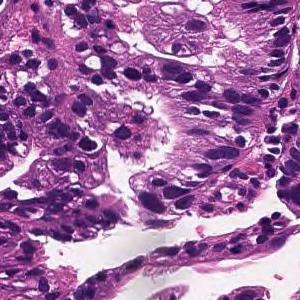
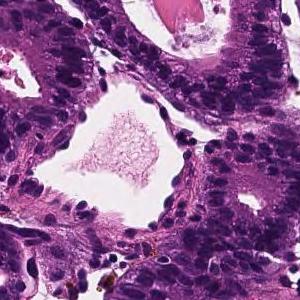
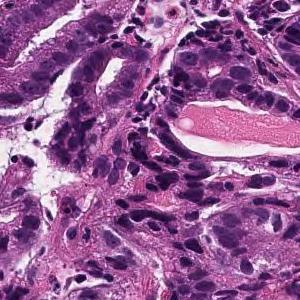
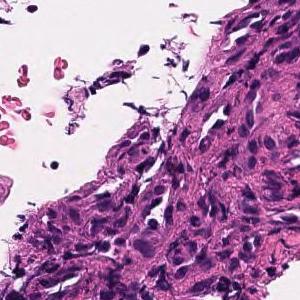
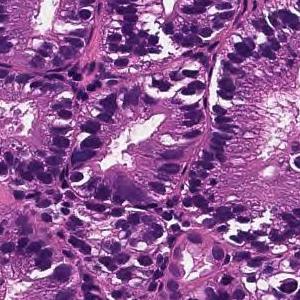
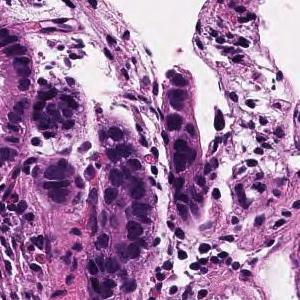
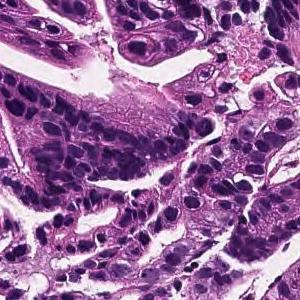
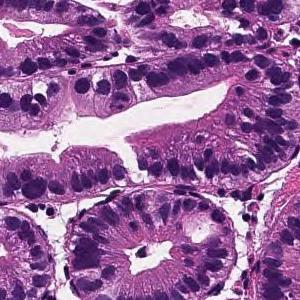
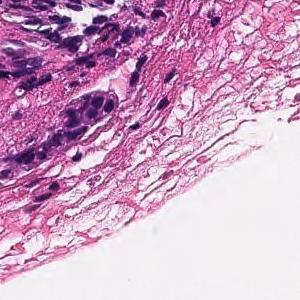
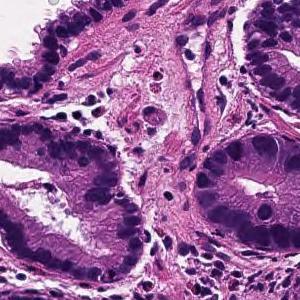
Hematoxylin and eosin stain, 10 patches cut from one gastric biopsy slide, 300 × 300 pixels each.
Pathology report for the biopsy slide these tiles were cut from. What the report and the diagnosis say applies to the whole slide; these tiles may miss some of the features named and may include tissue that is not tumor.
From the superficial epithelium to the muscularis mucosae, tumor tissue consisting of medium-sized and irregular glandular ducts infiltrating is observed. Well differentiated tubular adenocarcinoma
